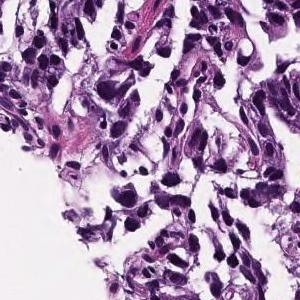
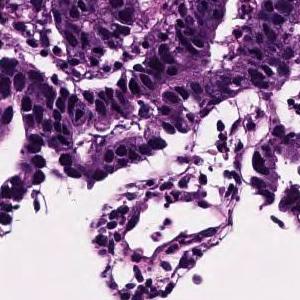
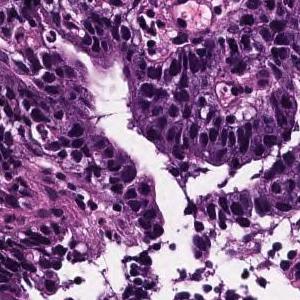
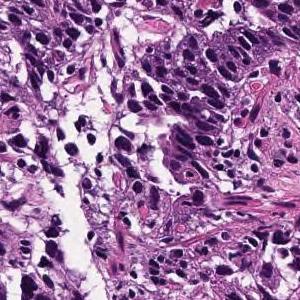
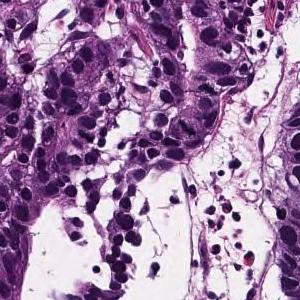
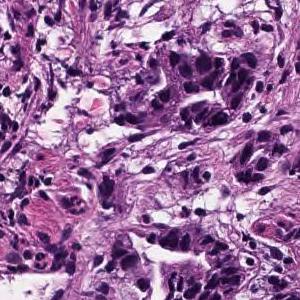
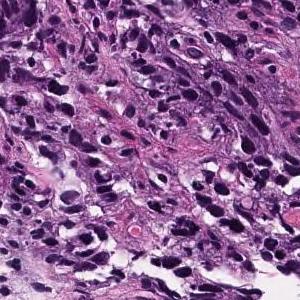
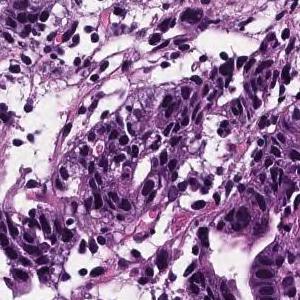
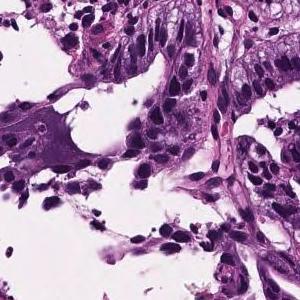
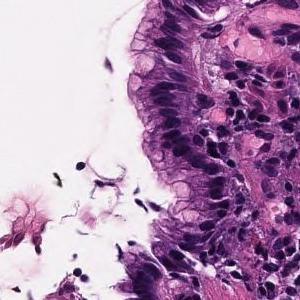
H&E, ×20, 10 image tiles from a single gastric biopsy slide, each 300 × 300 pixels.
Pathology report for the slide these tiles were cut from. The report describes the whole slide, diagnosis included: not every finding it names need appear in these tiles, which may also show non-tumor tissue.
Atypical l cells with atypical nuclei forming diffuse or small irregular atypical ducts and growing. Moderately to poorly differentiated adenocarcinoma (poorly differentiated adenocarcinoma, solid type moderately differentiated tubular adenocarcinoma)
Tumor subtype: moderately to poorly differentiated adenocarcinoma.
"Solid type" is a category of the Japanese Classification of Gastric Carcinoma; in the WHO 2019 classification it is tubular adenocarcinoma, poorly differentiated.
